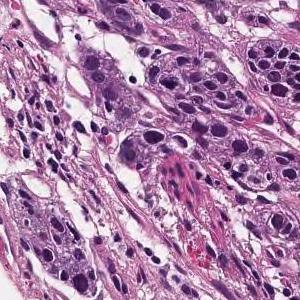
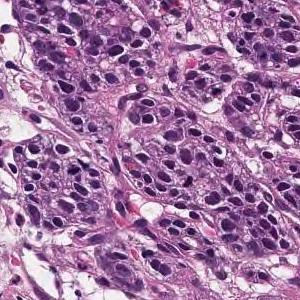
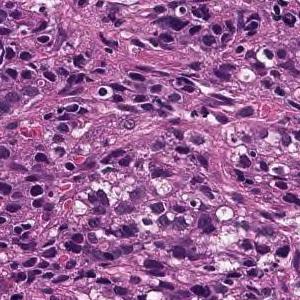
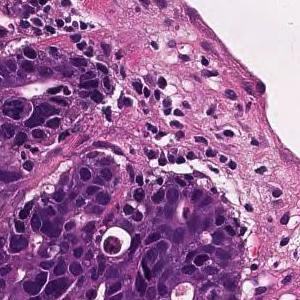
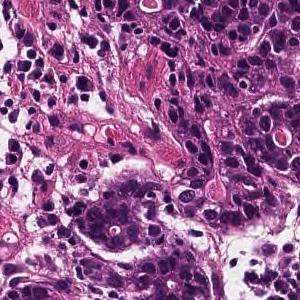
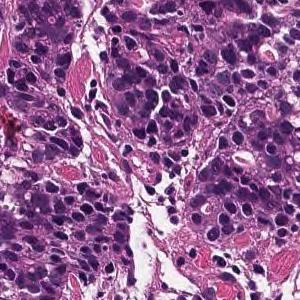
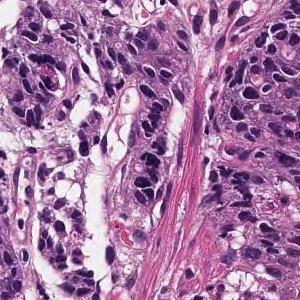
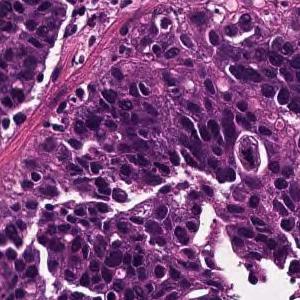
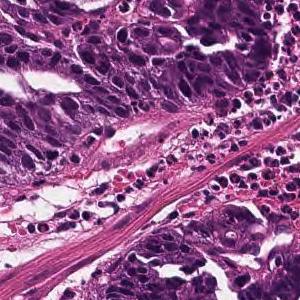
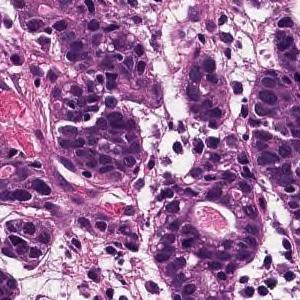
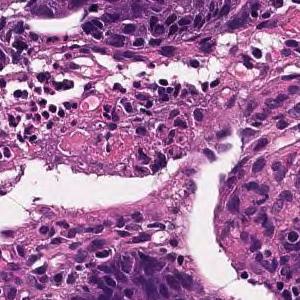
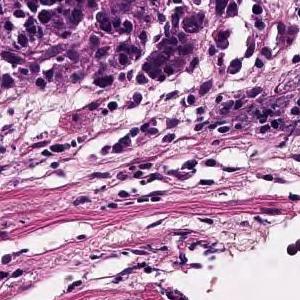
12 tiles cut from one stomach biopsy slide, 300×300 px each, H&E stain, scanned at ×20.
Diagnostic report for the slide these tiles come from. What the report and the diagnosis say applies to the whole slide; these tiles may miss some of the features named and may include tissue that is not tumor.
Medium to small, irregular glandular ducts are formed in the superficial epithelium, and in some cases, the glandular ducts are fused to show solid alveolar lesions and infiltrating tumor tissue is observed. Moderately to poorly differentiated adenocarcinoma.
